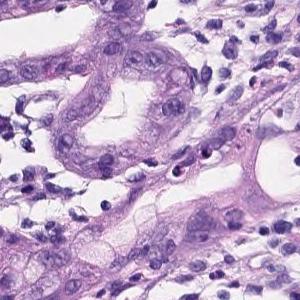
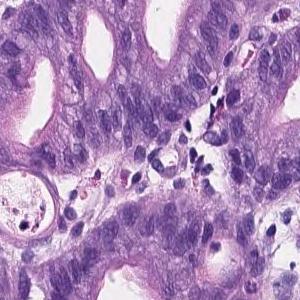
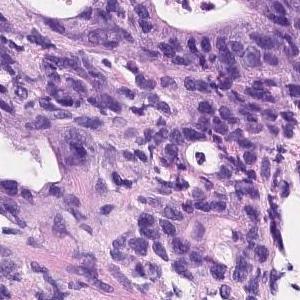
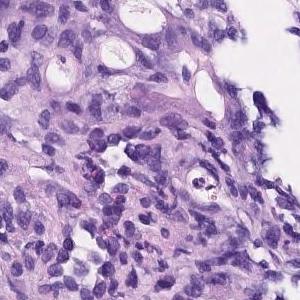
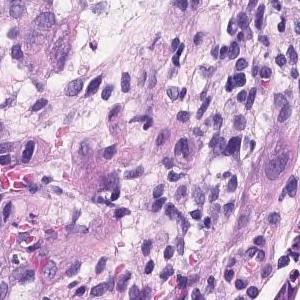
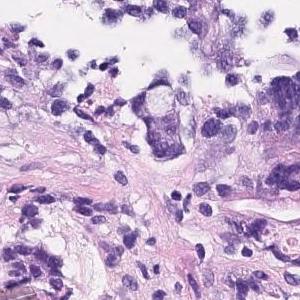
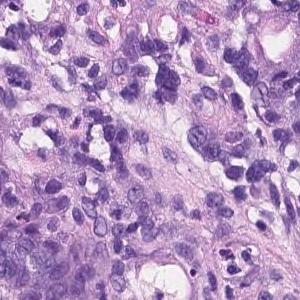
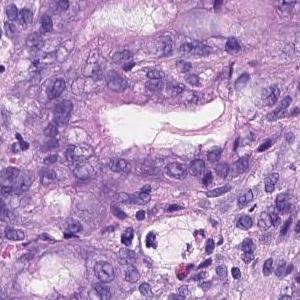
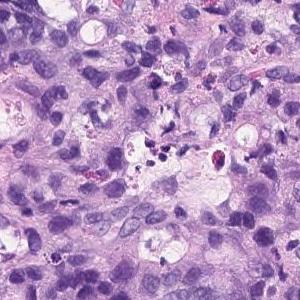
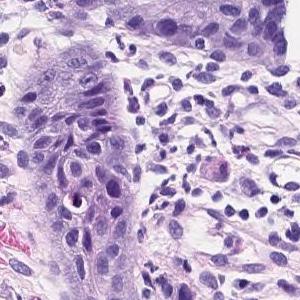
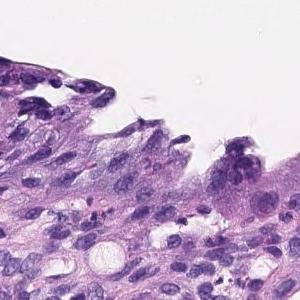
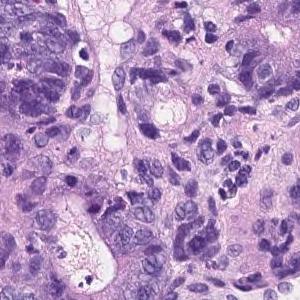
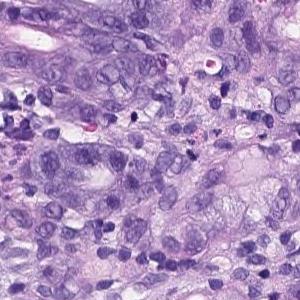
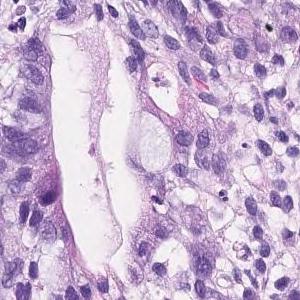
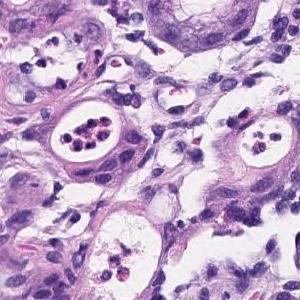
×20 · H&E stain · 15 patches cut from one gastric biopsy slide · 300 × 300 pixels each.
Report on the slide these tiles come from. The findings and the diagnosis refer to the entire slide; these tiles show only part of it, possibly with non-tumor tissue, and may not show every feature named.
Irregularly fused atypical ducts proliferating while replacing existing ducts was observed. moderately differentiated tubular adenocarcinoma
